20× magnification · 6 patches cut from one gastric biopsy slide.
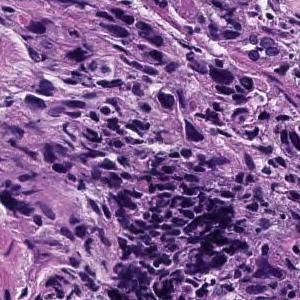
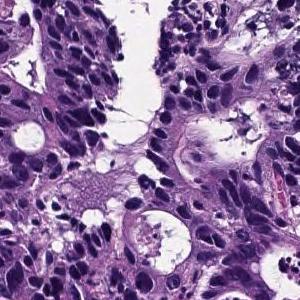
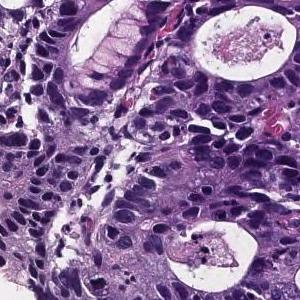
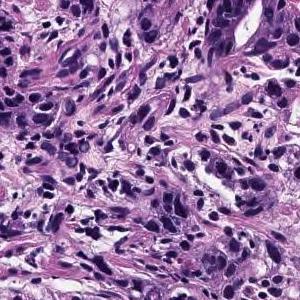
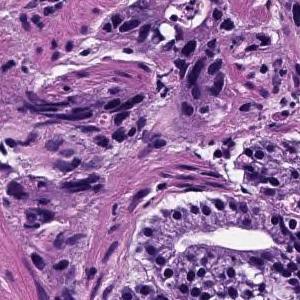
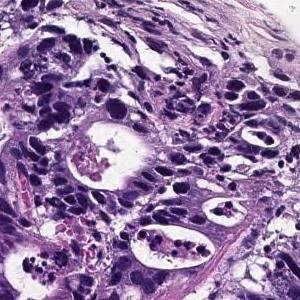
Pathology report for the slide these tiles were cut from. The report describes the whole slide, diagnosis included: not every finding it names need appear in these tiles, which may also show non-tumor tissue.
In the superficial epithelium, tumor tissue that invades by forming medium-sized to small, irregular ducts is observed. moderately differentiated tubular adenocarcinoma.
